16 tiles from the same stomach biopsy slide · ×20.
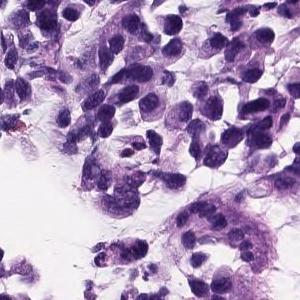
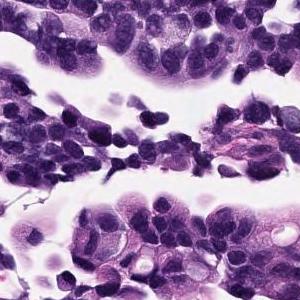
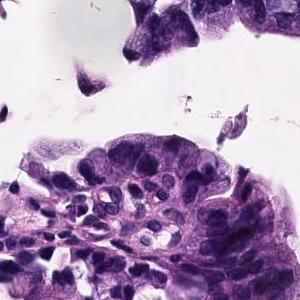
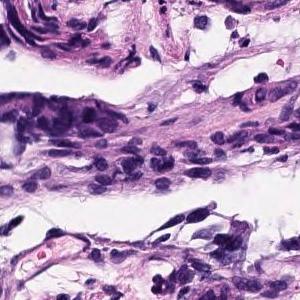
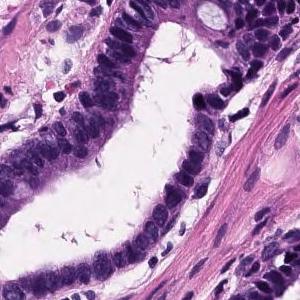
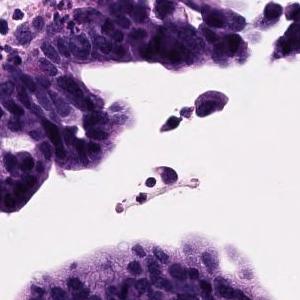
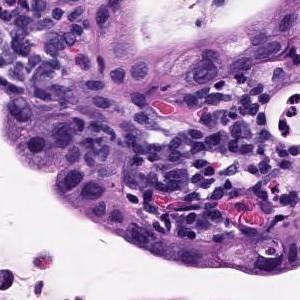
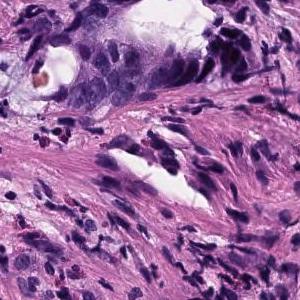
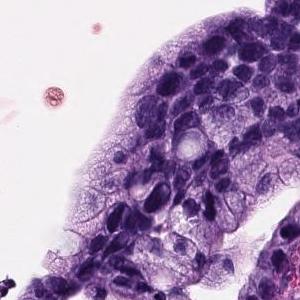
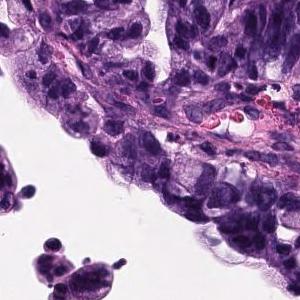
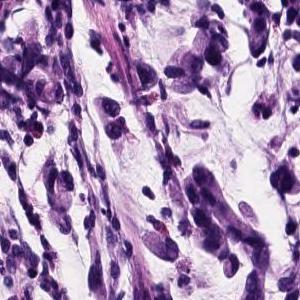
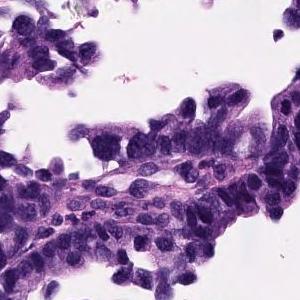
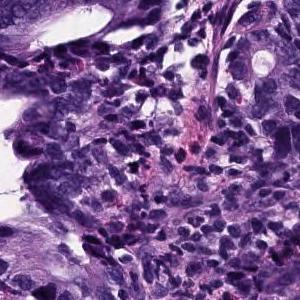
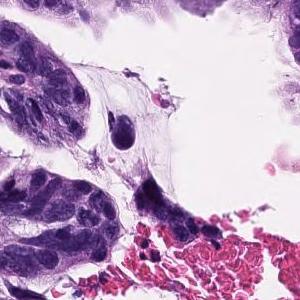
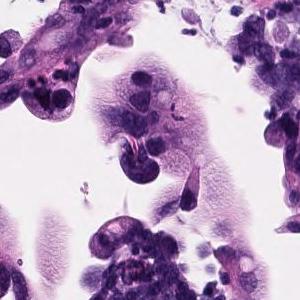
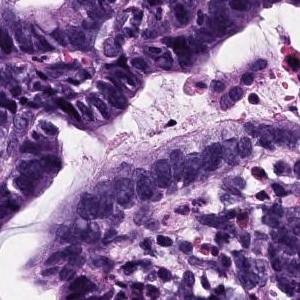
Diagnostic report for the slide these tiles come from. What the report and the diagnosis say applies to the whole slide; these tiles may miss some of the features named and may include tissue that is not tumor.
Atypical epithelium proliferating showing villus construction and irregular gland duct construction is observed. Moderately differentiated tubular adenocarcinoma.
